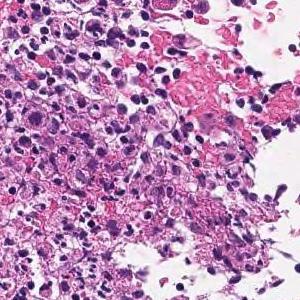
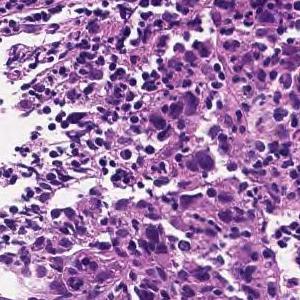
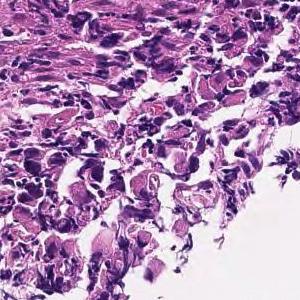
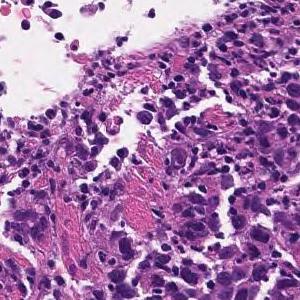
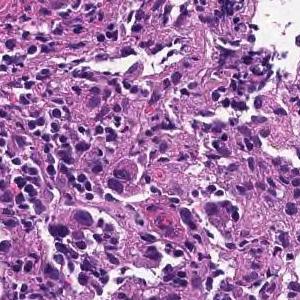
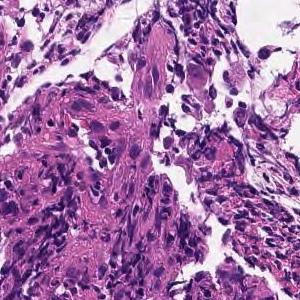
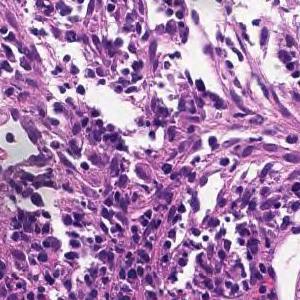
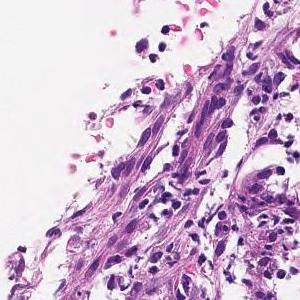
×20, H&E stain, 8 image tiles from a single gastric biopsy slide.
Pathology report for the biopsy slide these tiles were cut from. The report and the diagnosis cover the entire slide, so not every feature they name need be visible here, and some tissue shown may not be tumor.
The superficial epithelium shows a large sheet-like shape, and some tumor tissue infiltrates with small irregular ducts. Poorly differentiated adenocarcinoma, solid-type (poorly differentiated adenocarcinoma, solid type)
Histologic type: Poorly differentiated adenocarcinoma, solid type. This name comes from the Japanese Classification of Gastric Carcinoma; the WHO 2019 classification calls it tubular adenocarcinoma, poorly differentiated.
